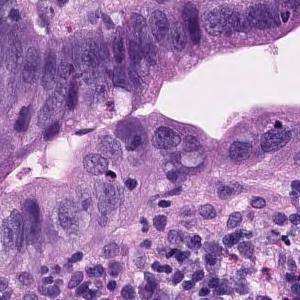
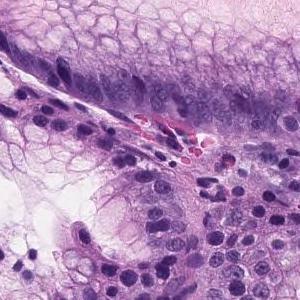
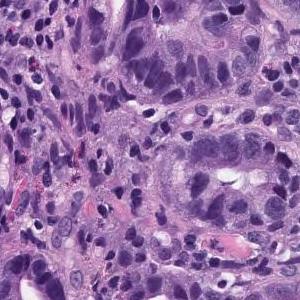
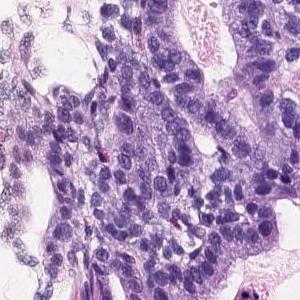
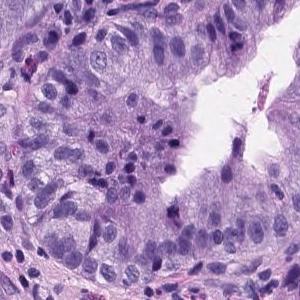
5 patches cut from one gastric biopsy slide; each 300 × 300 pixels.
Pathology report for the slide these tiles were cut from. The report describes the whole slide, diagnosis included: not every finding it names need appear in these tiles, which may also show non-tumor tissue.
Tumor tissue consisting of medium-sized and irregular ducts is observed infiltrating in the superficial epithelium. Tumor cells are highly columnar, with nuclei aligned basolaterally and polarized. Well differentiated tubular adenocarcinoma.
